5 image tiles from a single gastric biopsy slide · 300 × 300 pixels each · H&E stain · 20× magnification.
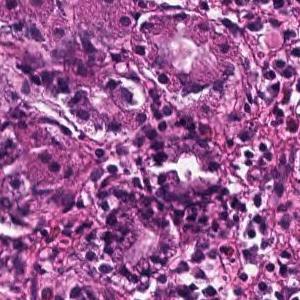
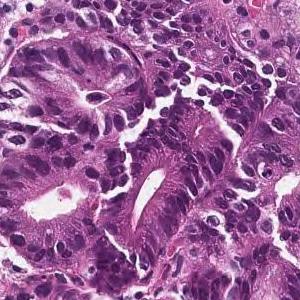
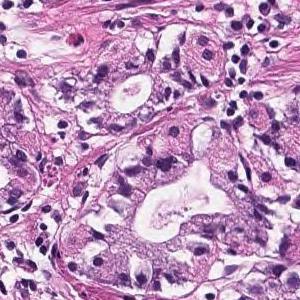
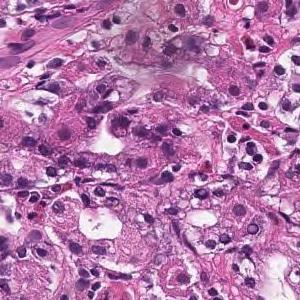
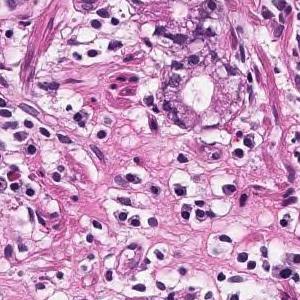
The pathologist's report on the biopsy slide these tiles were taken from. The report describes the whole slide, diagnosis included: not every finding it names need appear in these tiles, which may also show non-tumor tissue.
Tumor tissue in which medium to small irregular ducts infiltrate and proliferate in the submucosa can be seen in the epithelium. Well differentiated tubular adenocarcinoma
